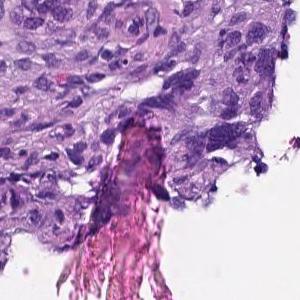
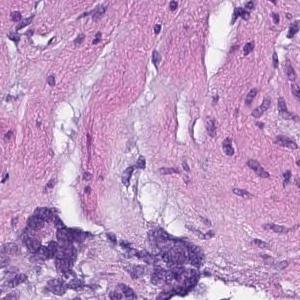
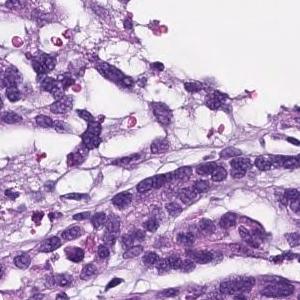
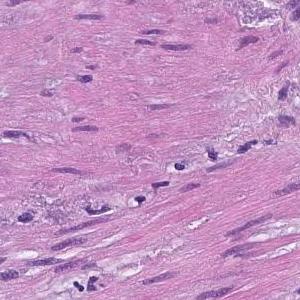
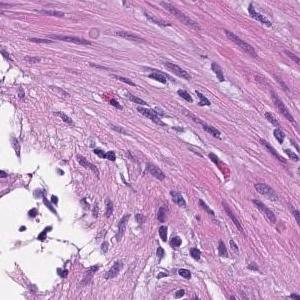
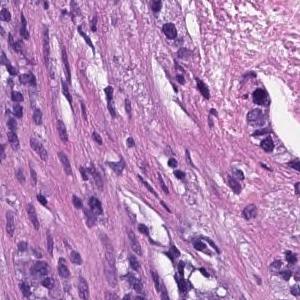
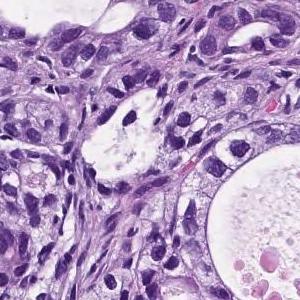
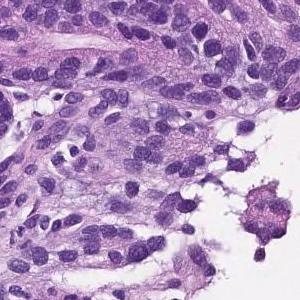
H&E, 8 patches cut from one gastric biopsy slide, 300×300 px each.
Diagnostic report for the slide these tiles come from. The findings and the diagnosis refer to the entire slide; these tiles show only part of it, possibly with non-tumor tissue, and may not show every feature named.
From the superficial epithelium to the muscularis mucosae, tumor tissue consisting of medium-sized and irregular glandular ducts infiltrating is observed. Well differentiated tubular adenocarcinoma
